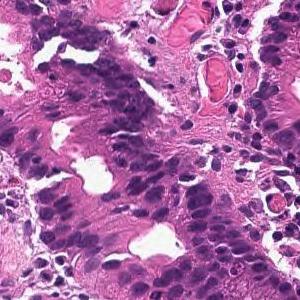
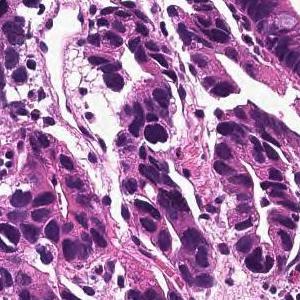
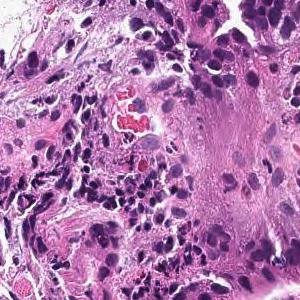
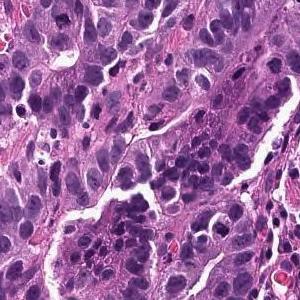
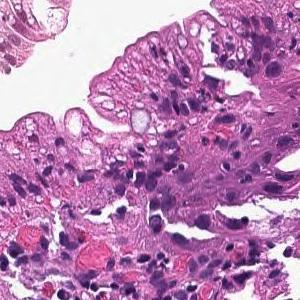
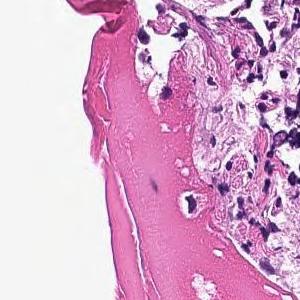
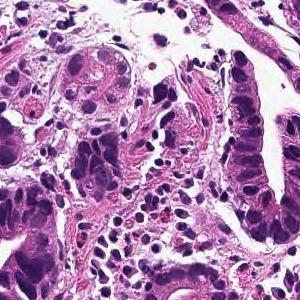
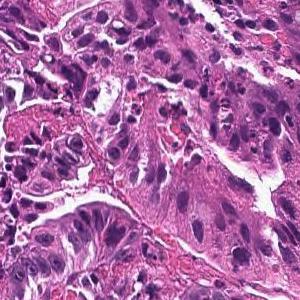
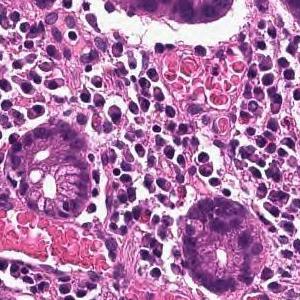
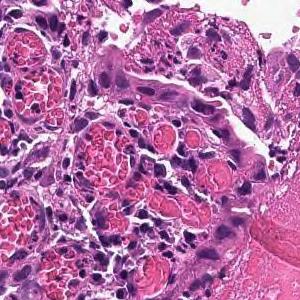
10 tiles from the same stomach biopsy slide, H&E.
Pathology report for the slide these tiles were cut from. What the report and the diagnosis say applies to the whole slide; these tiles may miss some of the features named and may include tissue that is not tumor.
On the superficial epithelium, tumor tissue consisting of large, irregular glandular ducts partially fused and infiltrated is observed. Well to moderately differentiated tubular adenocarcinoma (well differentiated tubular adenocarcinoma, moderately differentiated tubular adenocarcinoma)
Histological subtype: Well to moderately differentiated tubular adenocarcinoma.
